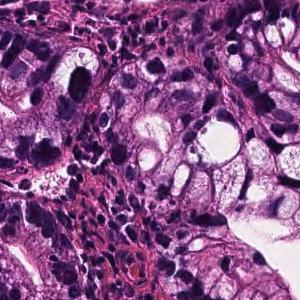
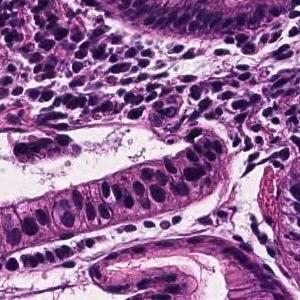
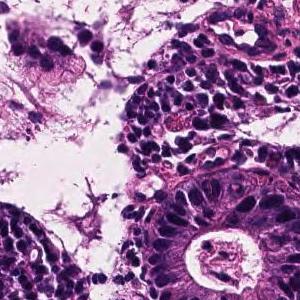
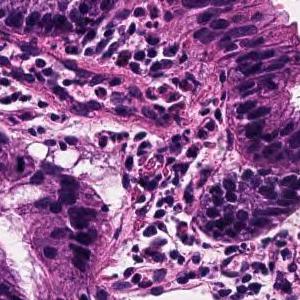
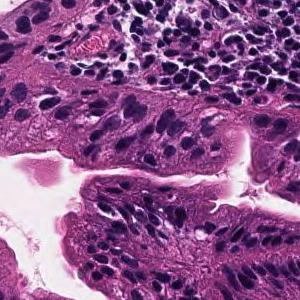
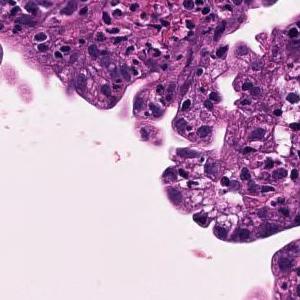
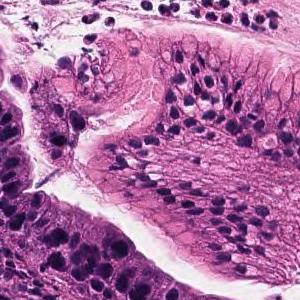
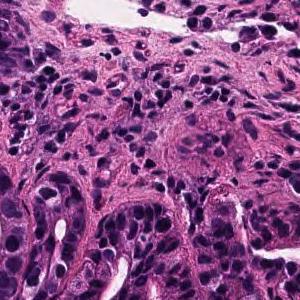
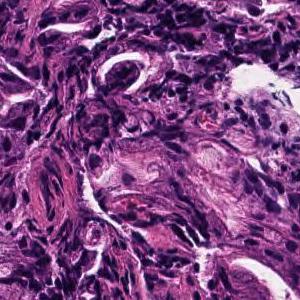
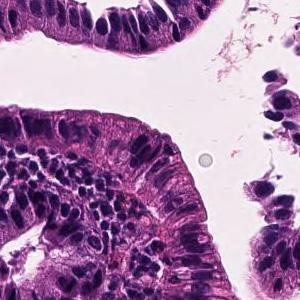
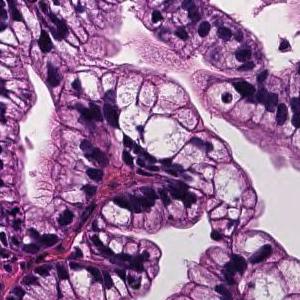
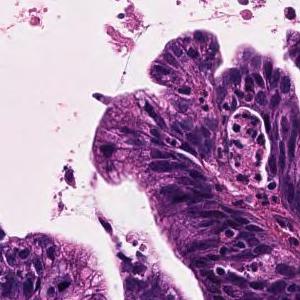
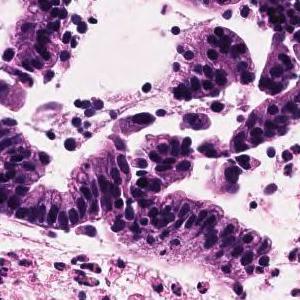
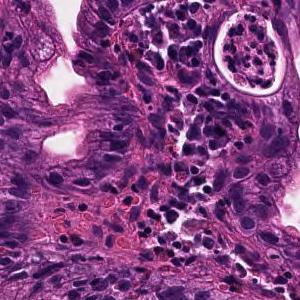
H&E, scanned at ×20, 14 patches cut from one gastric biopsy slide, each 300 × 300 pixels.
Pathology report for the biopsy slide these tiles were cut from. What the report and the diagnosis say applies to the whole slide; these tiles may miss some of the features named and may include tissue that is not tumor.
Tumor cells are large, highly columnar, large club-shaped nuclei, and are associated with chromatin aggregation. Papillary adenocarcinoma.
